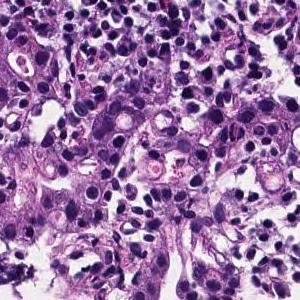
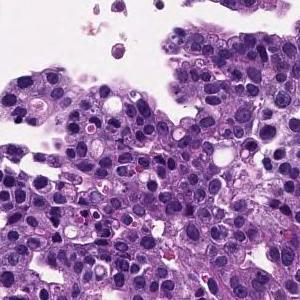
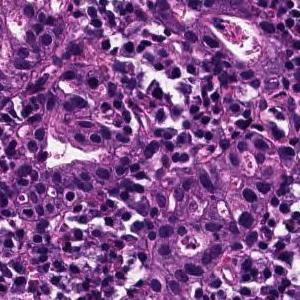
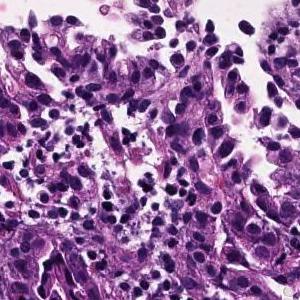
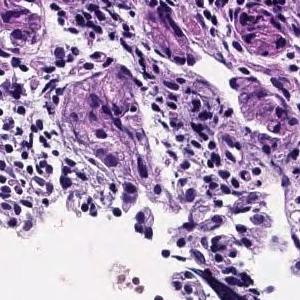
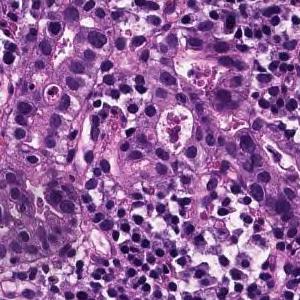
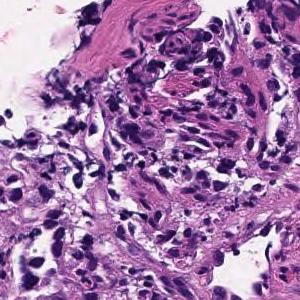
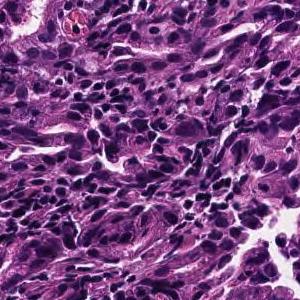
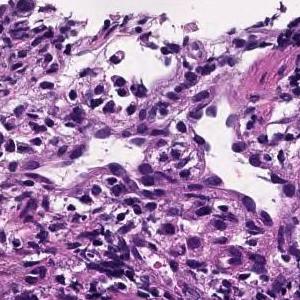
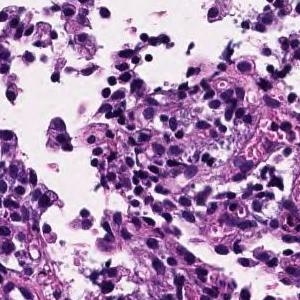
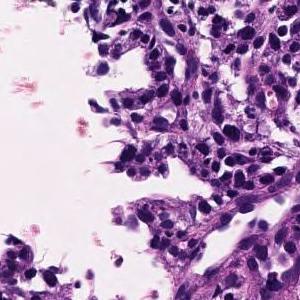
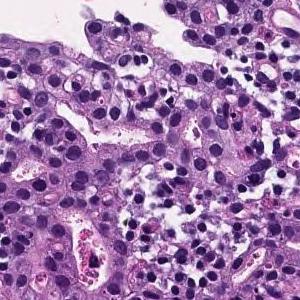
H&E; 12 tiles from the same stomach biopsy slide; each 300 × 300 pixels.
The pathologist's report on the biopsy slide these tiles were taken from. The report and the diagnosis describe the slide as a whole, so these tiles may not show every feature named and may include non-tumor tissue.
Medium to small, irregular glandular ducts are formed in the superficial epithelium, and in some cases, the glandular ducts are fused to show solid alveolar lesions and infiltrating tumor tissue is observed. Moderately to poorly differentiated adenocarcinoma.
